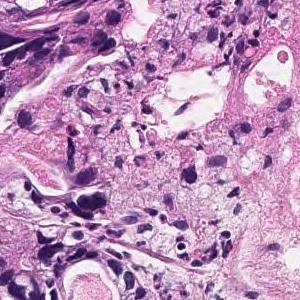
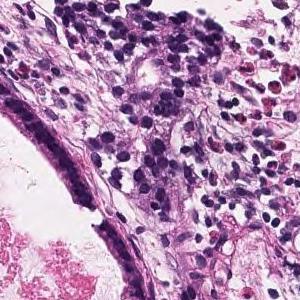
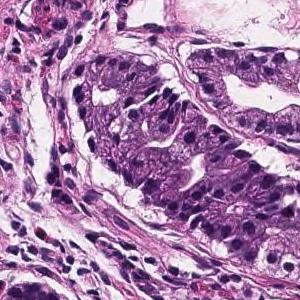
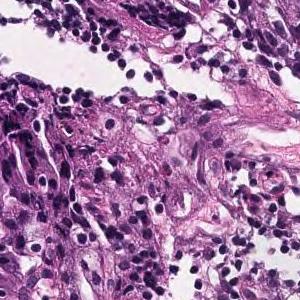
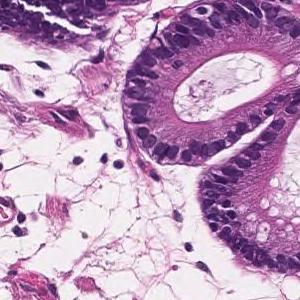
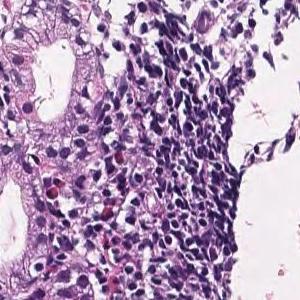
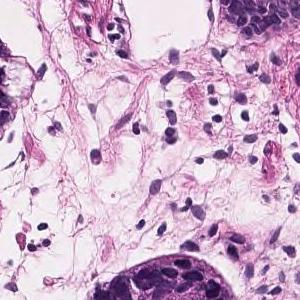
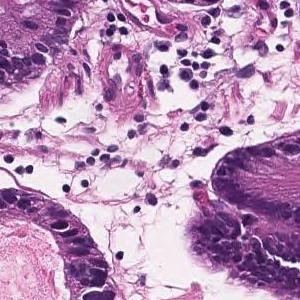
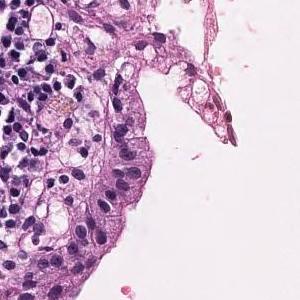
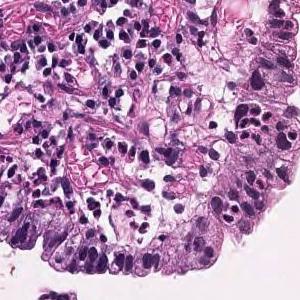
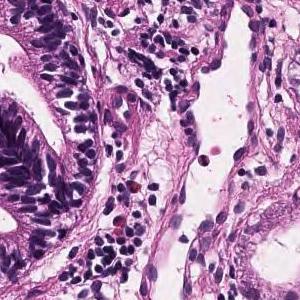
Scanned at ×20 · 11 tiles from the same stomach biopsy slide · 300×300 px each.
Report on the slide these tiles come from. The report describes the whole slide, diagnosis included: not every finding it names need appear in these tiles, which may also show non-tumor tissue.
Tumor tissue consisting of medium-sized and irregular ducts is observed infiltrating in the superficial epithelium. Tumor cells are highly columnar, with nuclei aligned basolaterally and polarized. Well differentiated tubular adenocarcinoma.
